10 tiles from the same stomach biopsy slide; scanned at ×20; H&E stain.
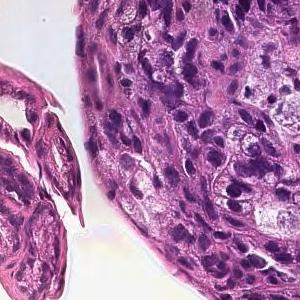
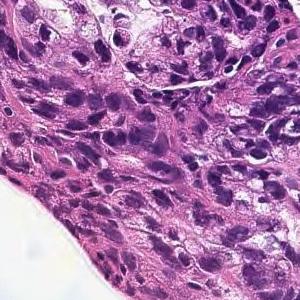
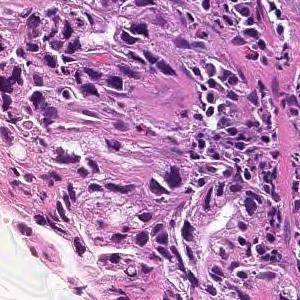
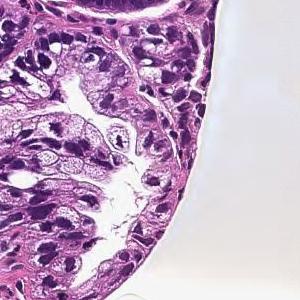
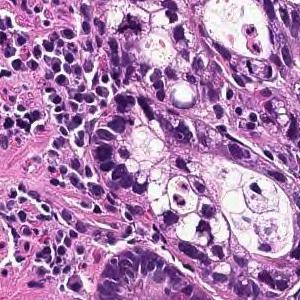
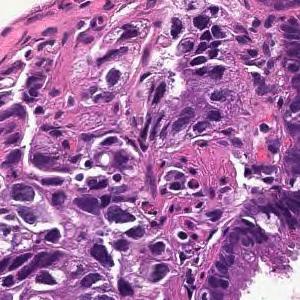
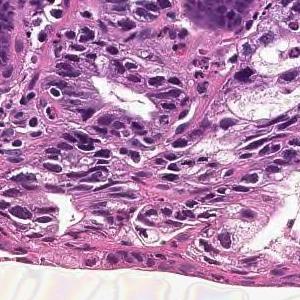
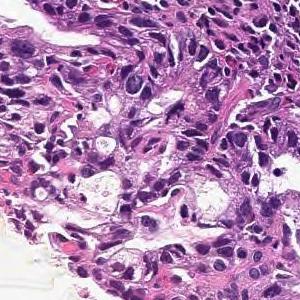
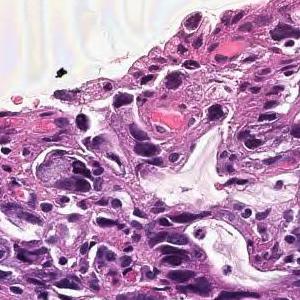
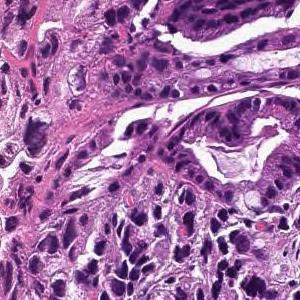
Report on the slide these tiles come from. The findings and the diagnosis refer to the entire slide; these tiles show only part of it, possibly with non-tumor tissue, and may not show every feature named.
In the superficial epithelium, tumor tissue that invades by forming medium-sized to small, irregular ducts is observed. moderately differentiated tubular adenocarcinoma.
